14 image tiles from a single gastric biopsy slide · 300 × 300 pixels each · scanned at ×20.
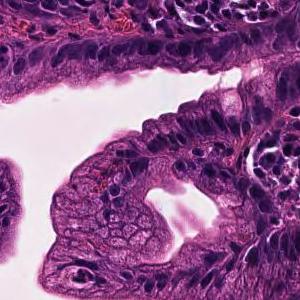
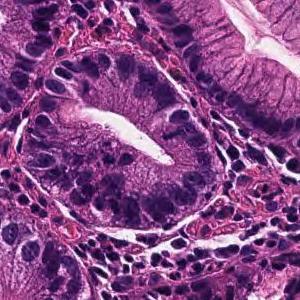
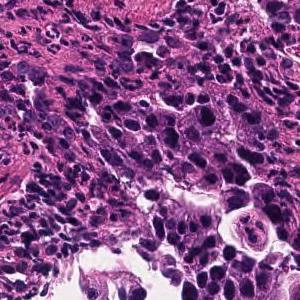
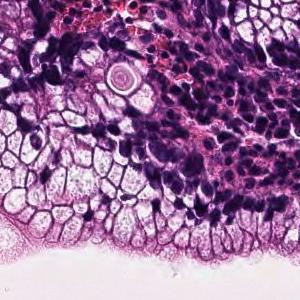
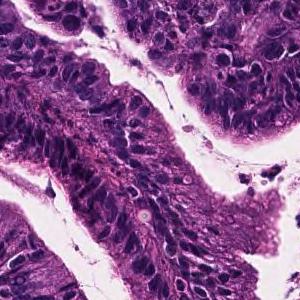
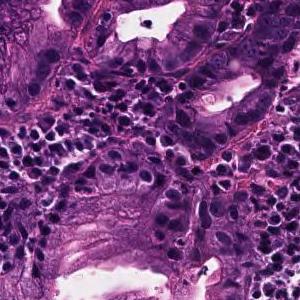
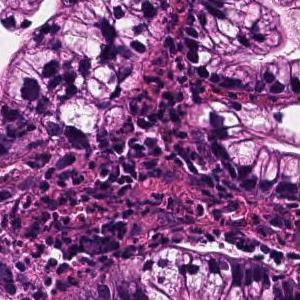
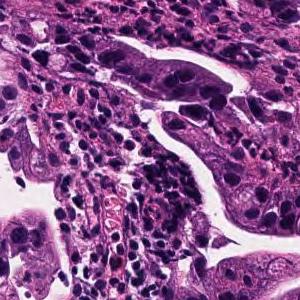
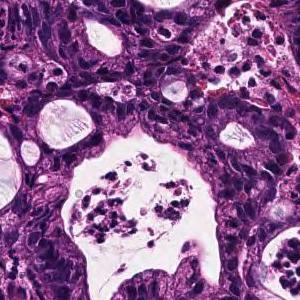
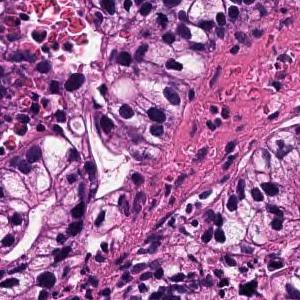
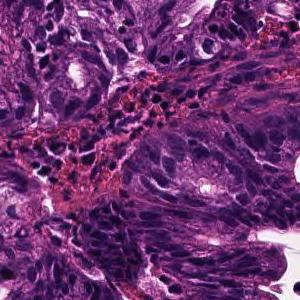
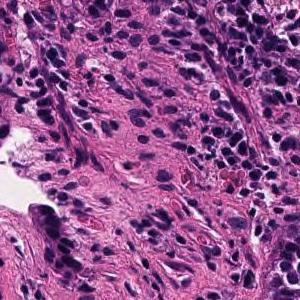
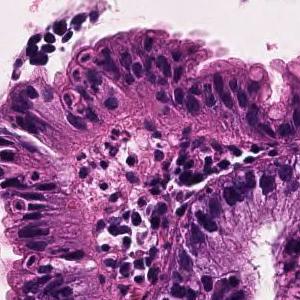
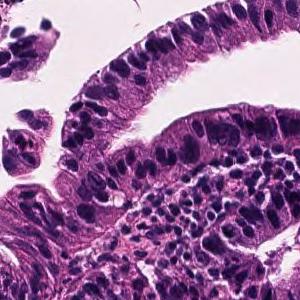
Pathology report for the biopsy slide these tiles were cut from. The findings and the diagnosis refer to the entire slide; these tiles show only part of it, possibly with non-tumor tissue, and may not show every feature named.
Tumor cells are large, highly columnar, large club-shaped nuclei, and are associated with chromatin aggregation. Papillary adenocarcinoma.
